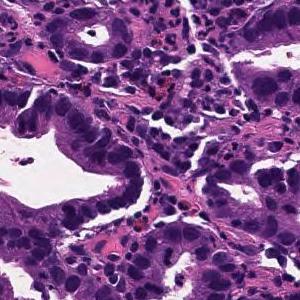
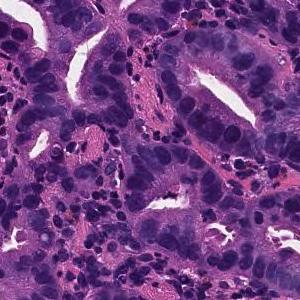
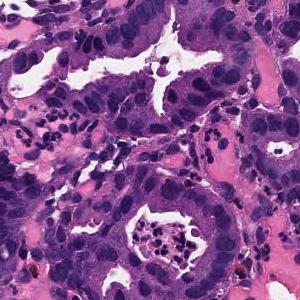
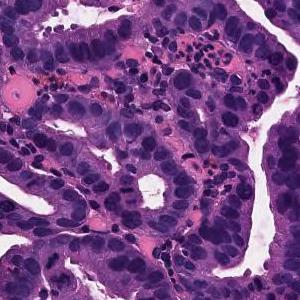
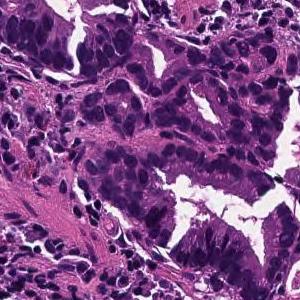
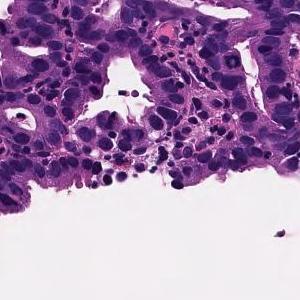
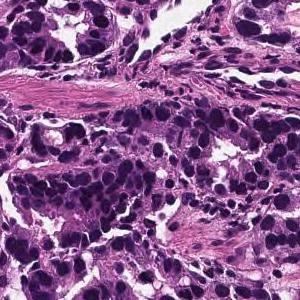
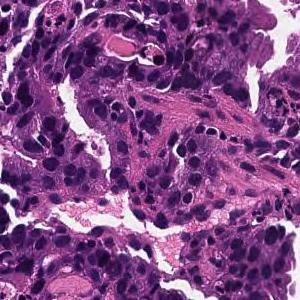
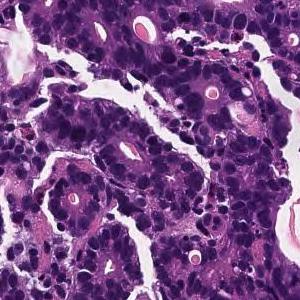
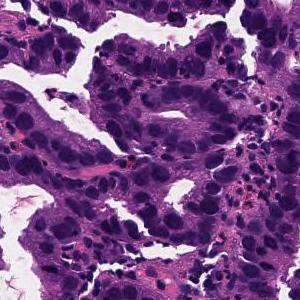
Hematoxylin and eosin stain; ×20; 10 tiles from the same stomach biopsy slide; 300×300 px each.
The pathologist's report on the biopsy slide these tiles were taken from. The report and the diagnosis describe the slide as a whole, so these tiles may not show every feature named and may include non-tumor tissue.
On the superficial epithelium, tumor tissue is found in which medium-sized irregular gland ducts fuse with each other and infiltrate. moderately differentiated tubular adenocarcinoma
